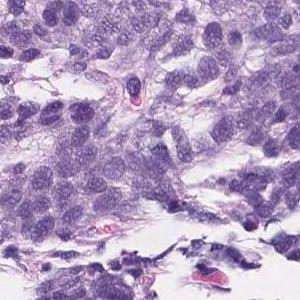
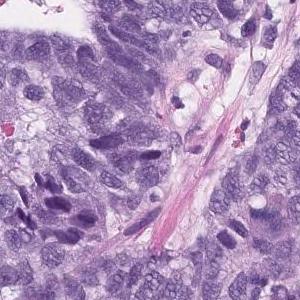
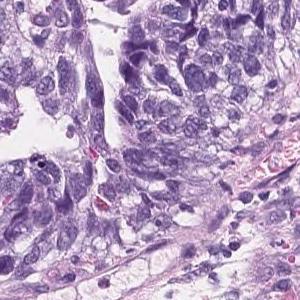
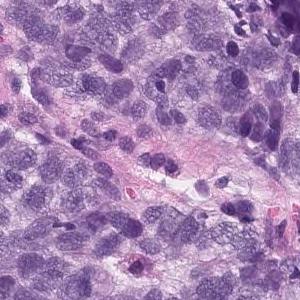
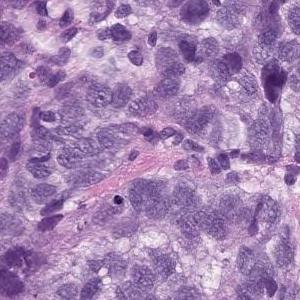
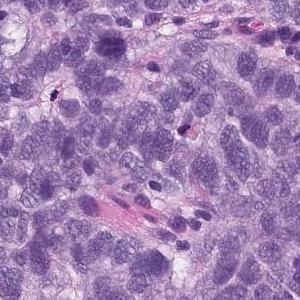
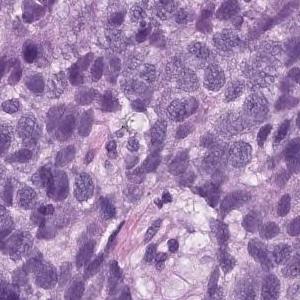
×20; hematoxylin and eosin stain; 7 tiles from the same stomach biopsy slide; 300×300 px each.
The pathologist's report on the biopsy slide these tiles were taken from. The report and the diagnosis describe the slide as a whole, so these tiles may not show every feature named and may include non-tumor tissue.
Epithelial cells with swollen nuclei with atypia invasively proliferating while forming vesicles is observed. Poorly differentiated adenocarcinoma
Subtype: Poorly differentiated adenocarcinoma, solid type. This name comes from the Japanese Classification of Gastric Carcinoma; the WHO 2019 classification calls it tubular adenocarcinoma, poorly differentiated.
